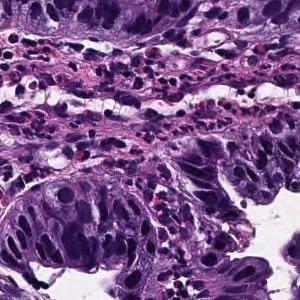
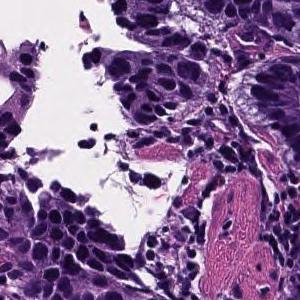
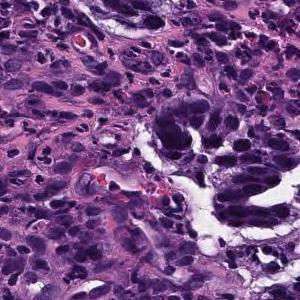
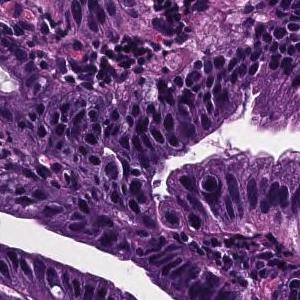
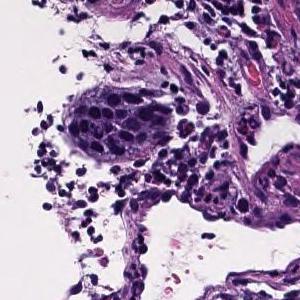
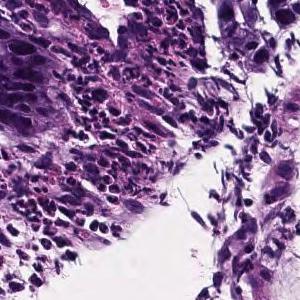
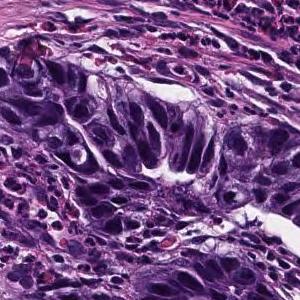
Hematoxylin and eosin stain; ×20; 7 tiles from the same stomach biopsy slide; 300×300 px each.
Pathology report for the biopsy slide these tiles were cut from. What the report and the diagnosis say applies to the whole slide; these tiles may miss some of the features named and may include tissue that is not tumor.
In the superficial epithelium, tumor tissue that invades by forming medium-sized to small, irregular ducts is observed. Moderately differentiated adenocarcinoma.
Classified as moderately differentiated tubular adenocarcinoma.
